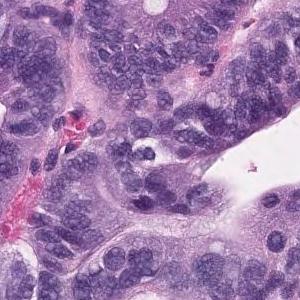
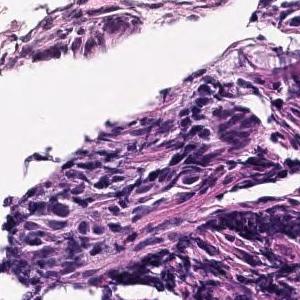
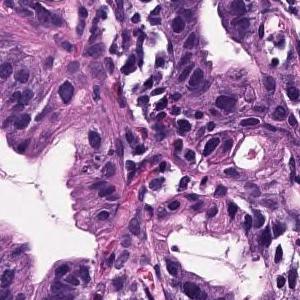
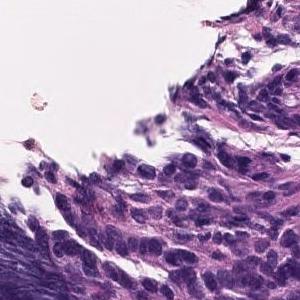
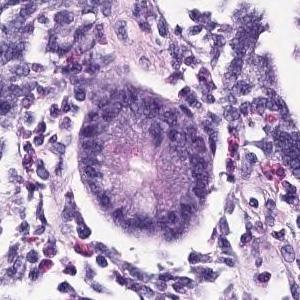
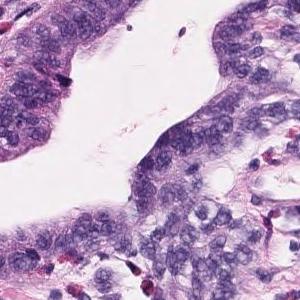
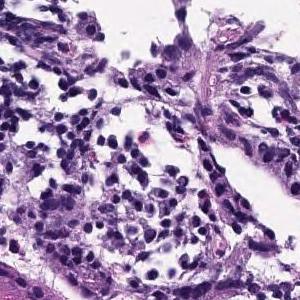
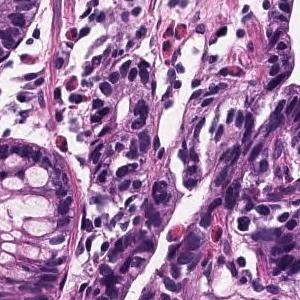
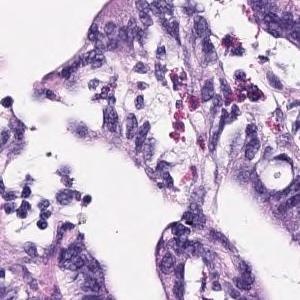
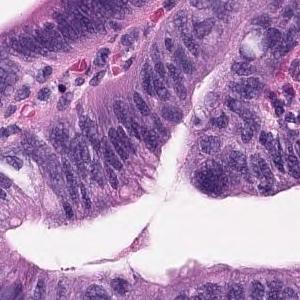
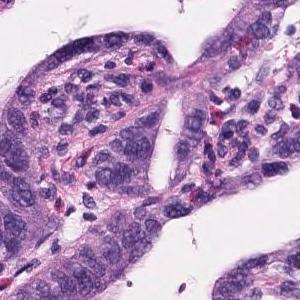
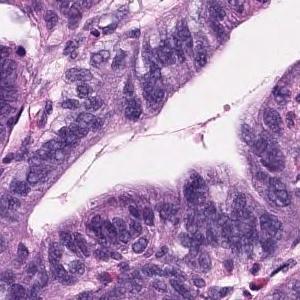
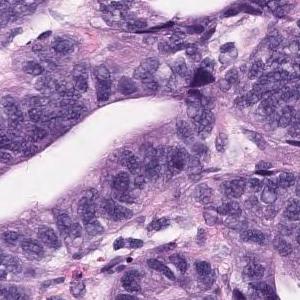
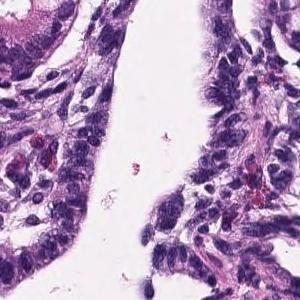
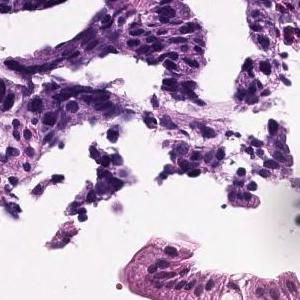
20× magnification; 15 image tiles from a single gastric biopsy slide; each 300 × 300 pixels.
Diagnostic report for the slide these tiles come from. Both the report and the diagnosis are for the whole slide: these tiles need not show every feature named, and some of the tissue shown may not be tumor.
Tumor cells are large, highly columnar, large club-shaped nuclei, and are associated with chromatin aggregation. Papillary adenocarcinoma.
